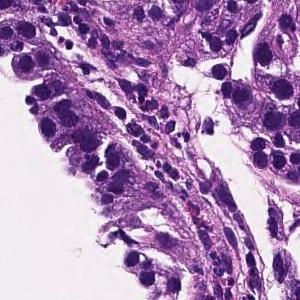
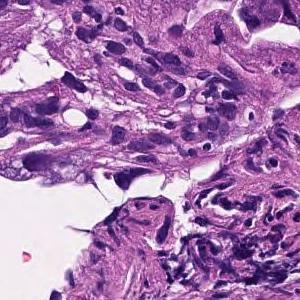
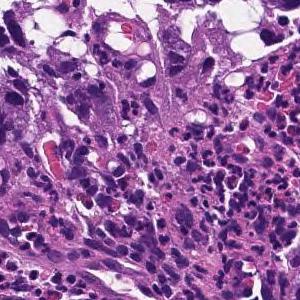
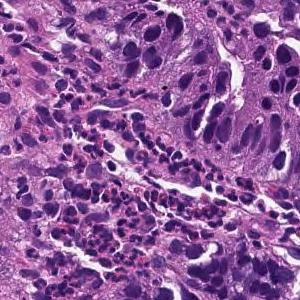
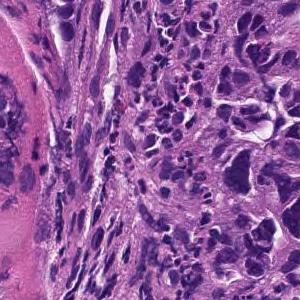
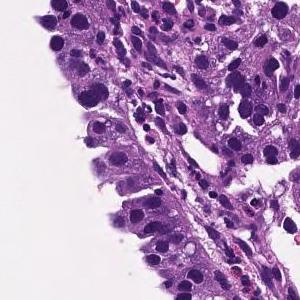
6 tiles from the same stomach biopsy slide; 300×300 px each; ×20; H&E.
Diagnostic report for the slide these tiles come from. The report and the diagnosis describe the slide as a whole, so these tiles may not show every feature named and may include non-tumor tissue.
Tumor tissue consisting of large papillary structures is found in the superficial epithelium. Papillary adenocarcinoma.
